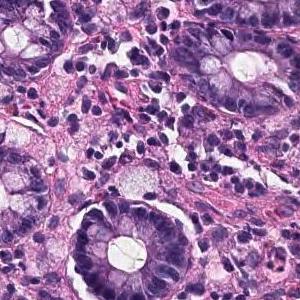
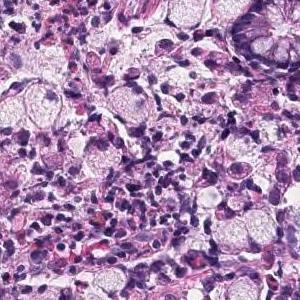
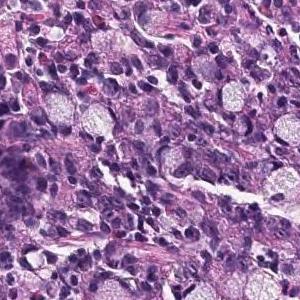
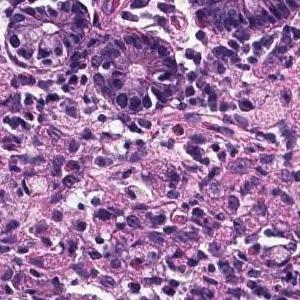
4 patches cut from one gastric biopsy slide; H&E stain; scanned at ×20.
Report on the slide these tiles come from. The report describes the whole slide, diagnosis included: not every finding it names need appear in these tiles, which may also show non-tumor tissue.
A tumor tissue consisting of signet ring cell carcinoma cells is observed in the lamina propria. Signet ring cell carcinoma.
